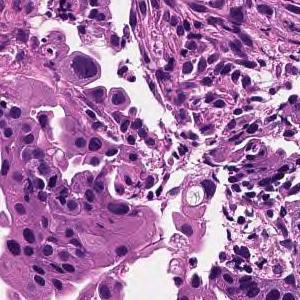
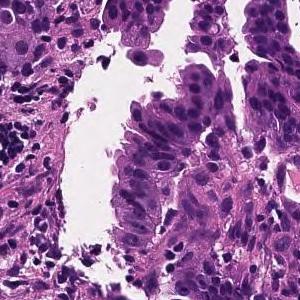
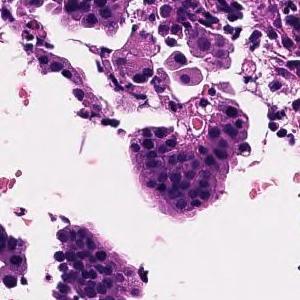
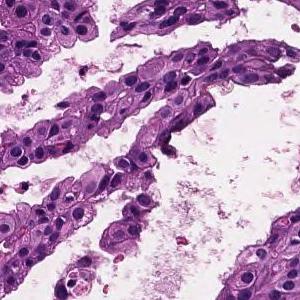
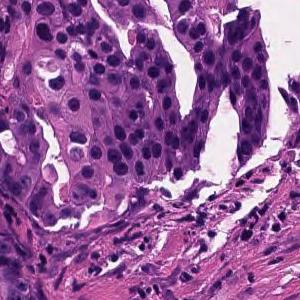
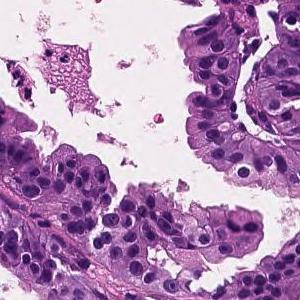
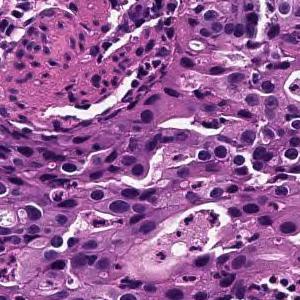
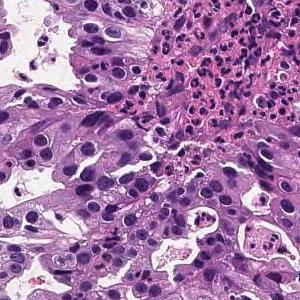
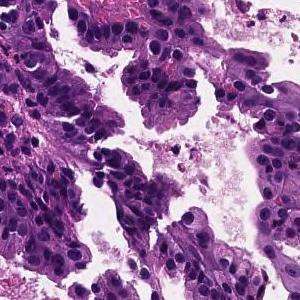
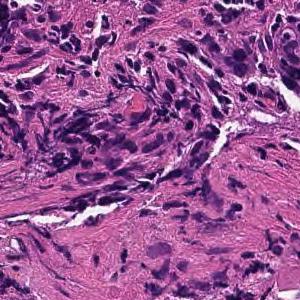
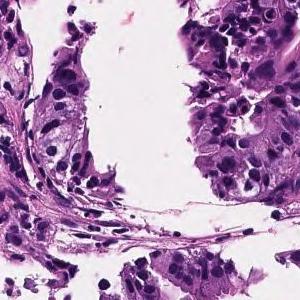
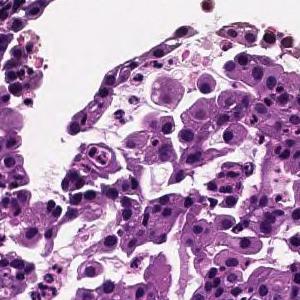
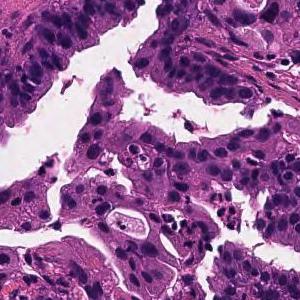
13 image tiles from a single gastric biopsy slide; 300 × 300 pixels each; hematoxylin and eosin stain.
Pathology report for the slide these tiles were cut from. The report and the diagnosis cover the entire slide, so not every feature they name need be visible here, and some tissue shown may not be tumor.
On the superficial epithelium, tumor tissue consisting of large, irregular glandular ducts partially fused and infiltrated is observed. Well to moderately differentiated tubular adenocarcinoma (well differentiated tubular adenocarcinoma, moderately differentiated tubular adenocarcinoma)
Histologic type: Well to moderately differentiated tubular adenocarcinoma.
